Scanned at ×20; H&E; 12 tiles cut from one stomach biopsy slide; 300×300 px each.
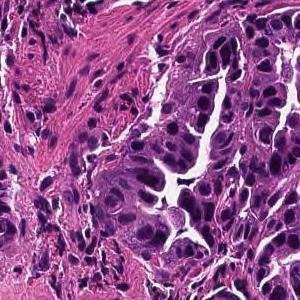
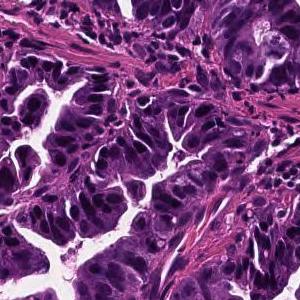
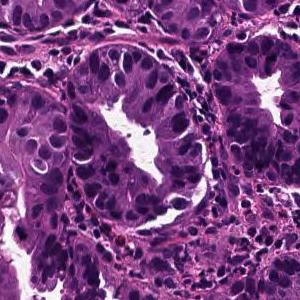
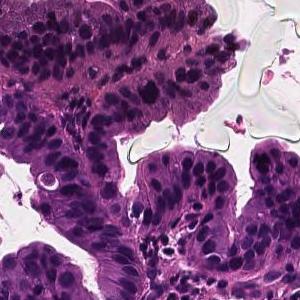
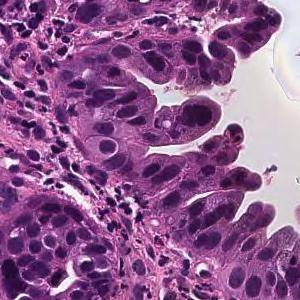
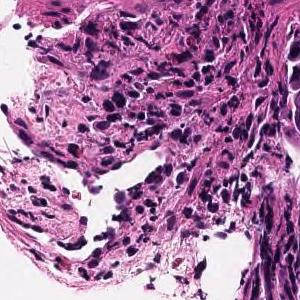
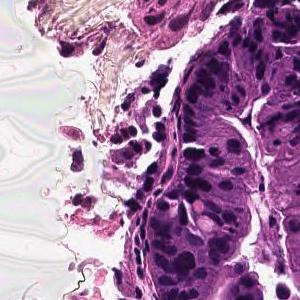
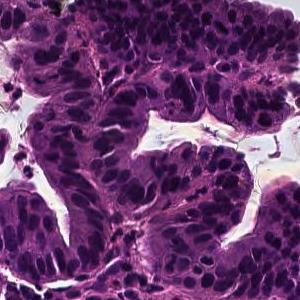
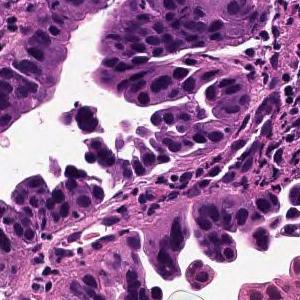
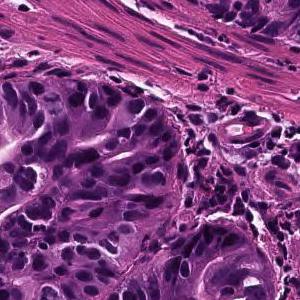
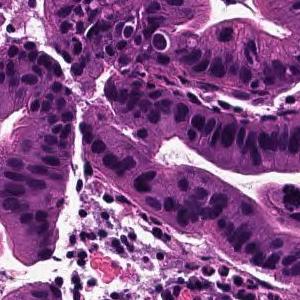
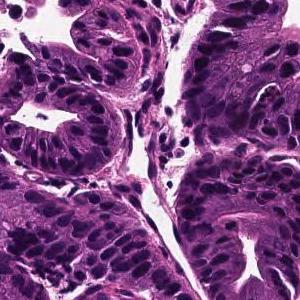
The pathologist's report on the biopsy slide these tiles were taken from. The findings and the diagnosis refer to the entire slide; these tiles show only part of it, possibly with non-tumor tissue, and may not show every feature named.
Tumor cells are large, highly columnar, large club-shaped nuclei, and are associated with chromatin aggregation. Papillary adenocarcinoma.
